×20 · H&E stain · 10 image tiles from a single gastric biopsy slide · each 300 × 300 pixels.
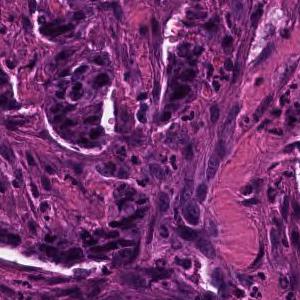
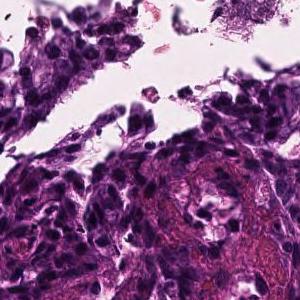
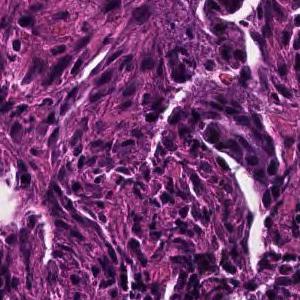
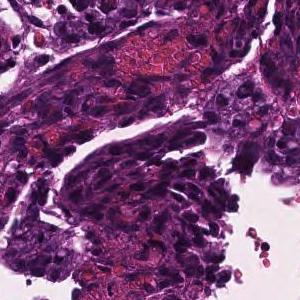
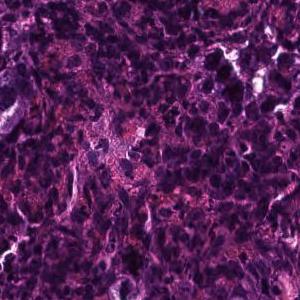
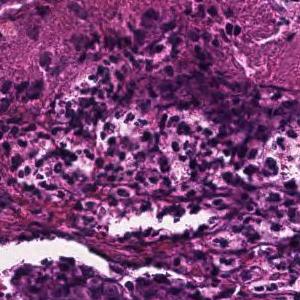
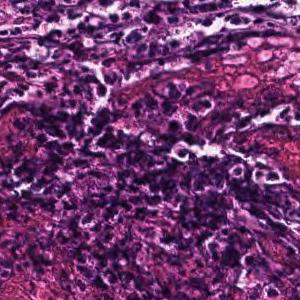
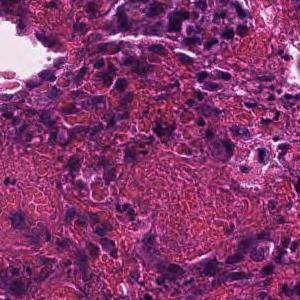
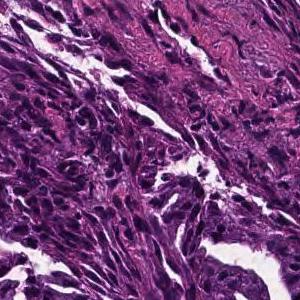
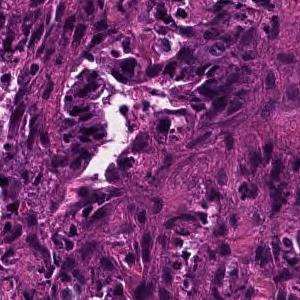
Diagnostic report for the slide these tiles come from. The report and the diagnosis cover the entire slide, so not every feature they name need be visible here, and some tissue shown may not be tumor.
Tumor tissue consisting of medium-sized, cord-like or irregular glandular infiltration is observed in the superficial epithelium. Poorly differentiated adenocarcinoma, non-solid type or moderately differentiated tubular adenocarcinoma
Tumor subtype: moderately to poorly differentiated adenocarcinoma.
"Non-solid type" is a category of the Japanese Classification of Gastric Carcinoma.
